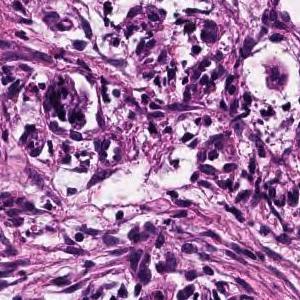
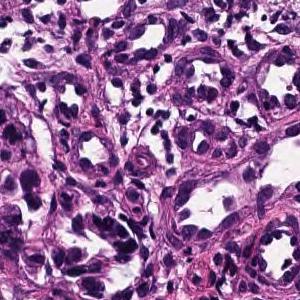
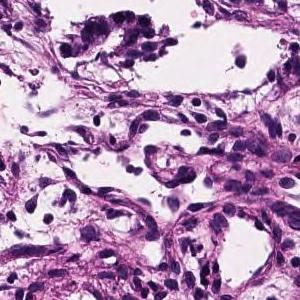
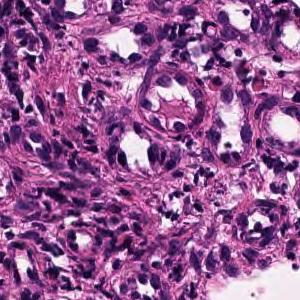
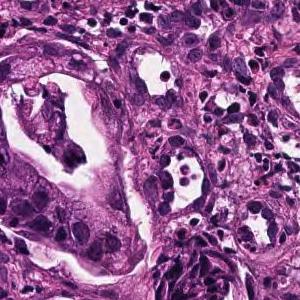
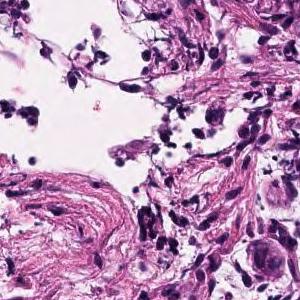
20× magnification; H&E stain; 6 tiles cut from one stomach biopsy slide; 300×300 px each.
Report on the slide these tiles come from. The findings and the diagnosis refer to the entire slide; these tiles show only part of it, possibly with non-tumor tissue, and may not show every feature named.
On the superficial epithelium, tumor tissue consisting of large, irregular glandular ducts partially fused and infiltrated is observed. Well to moderately differentiated tubular adenocarcinoma (well differentiated tubular adenocarcinoma, moderately differentiated tubular adenocarcinoma)
Classified as well to moderately differentiated tubular adenocarcinoma.
